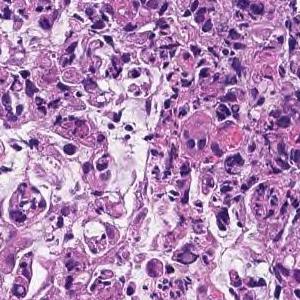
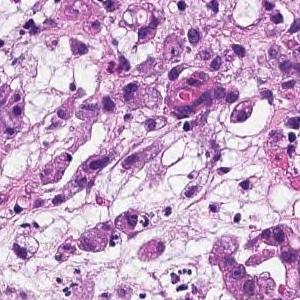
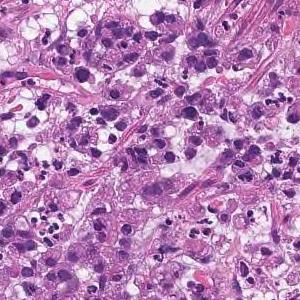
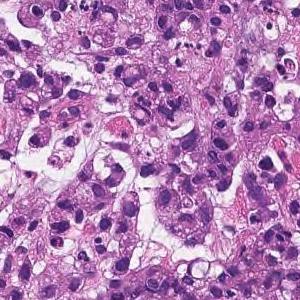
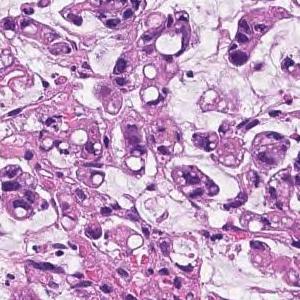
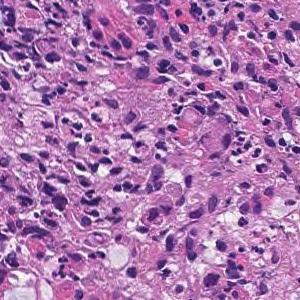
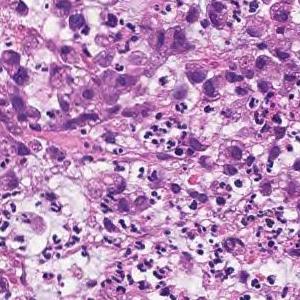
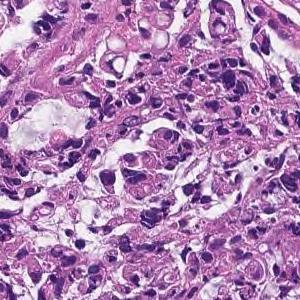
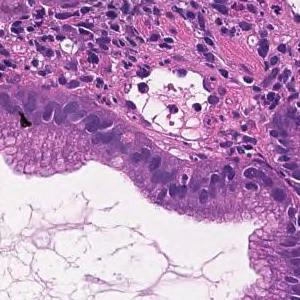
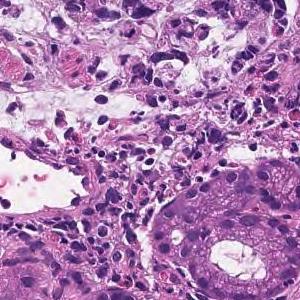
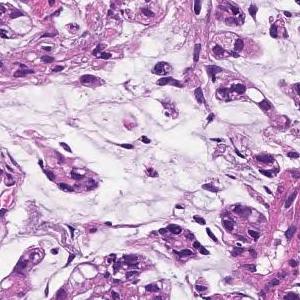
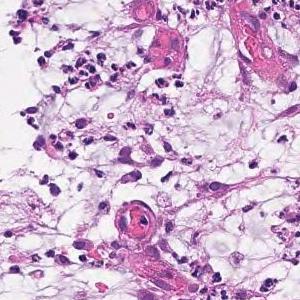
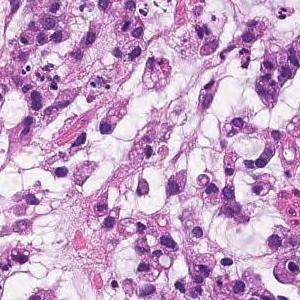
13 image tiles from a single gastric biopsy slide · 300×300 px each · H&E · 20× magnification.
Pathology report for the biopsy slide these tiles were cut from. The report and the diagnosis cover the entire slide, so not every feature they name need be visible here, and some tissue shown may not be tumor.
Tumor tissue consisting of cord-like or small, irregular glandular ducts fused and infiltrated is observed in the superficial epithelium. Poorly differentiated adenocarcinoma, non-solid type
"Non-solid type" is a category of the Japanese Classification of Gastric Carcinoma.
